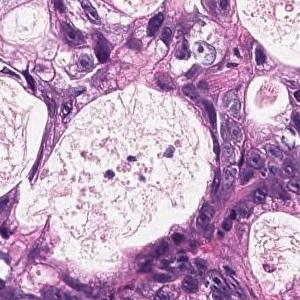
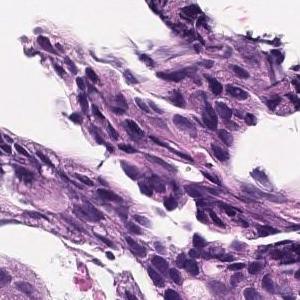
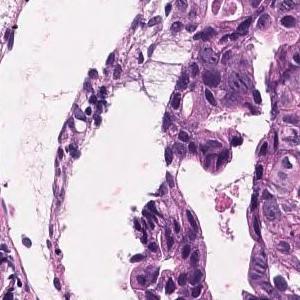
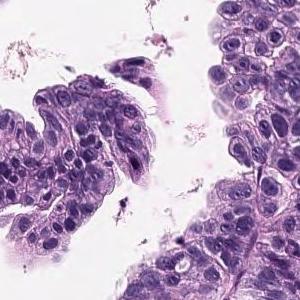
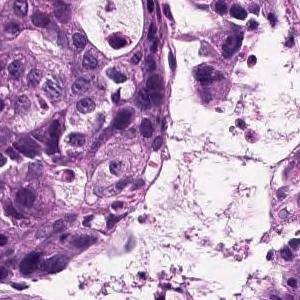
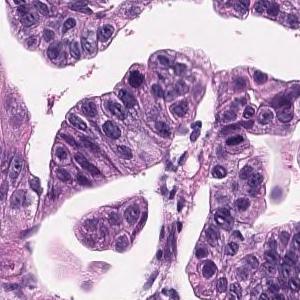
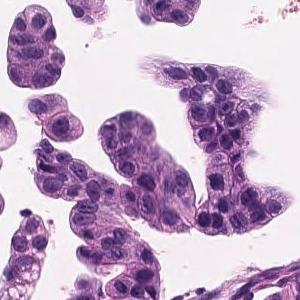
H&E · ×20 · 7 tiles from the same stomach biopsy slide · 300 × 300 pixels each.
Pathology report for the slide these tiles were cut from. Both the report and the diagnosis are for the whole slide: these tiles need not show every feature named, and some of the tissue shown may not be tumor.
Tumor cells are large, highly columnar, large club-shaped nuclei, and are associated with chromatin aggregation. Papillary adenocarcinoma.
